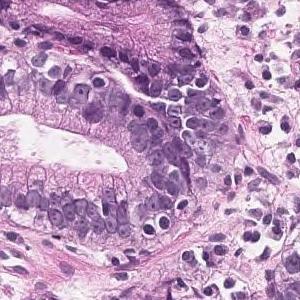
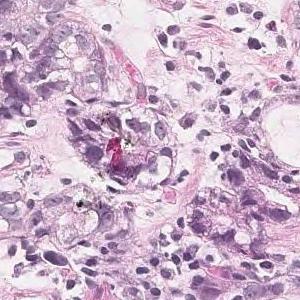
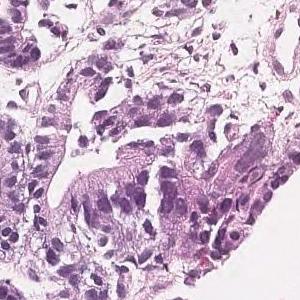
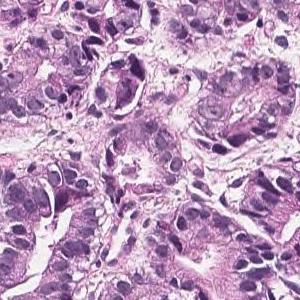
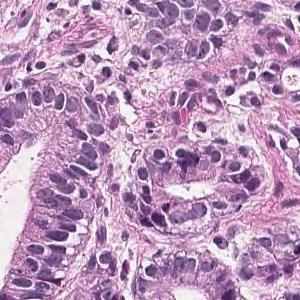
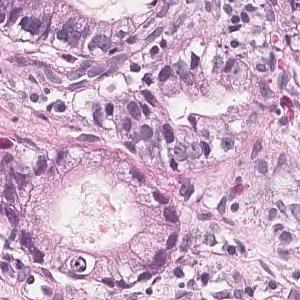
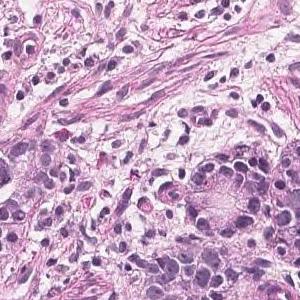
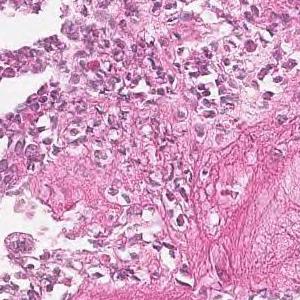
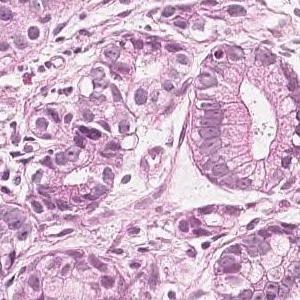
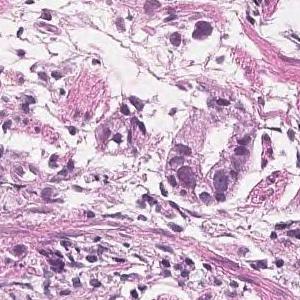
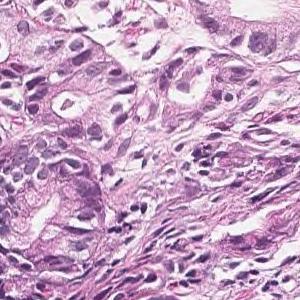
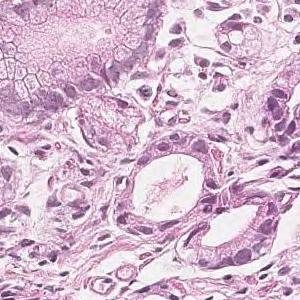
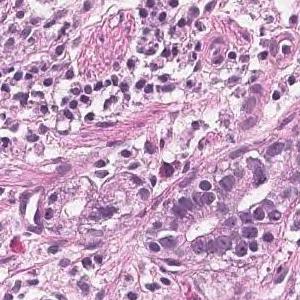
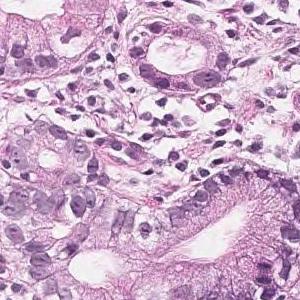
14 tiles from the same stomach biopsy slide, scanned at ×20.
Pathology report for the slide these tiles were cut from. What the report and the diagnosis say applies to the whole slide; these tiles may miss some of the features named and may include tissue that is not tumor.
In the superficial epithelium, tumor tissue that invades by forming medium-sized to small, irregular ducts is observed. moderately differentiated tubular adenocarcinoma.
